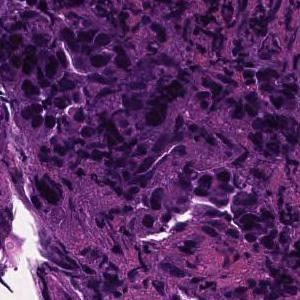
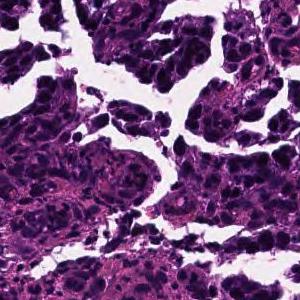
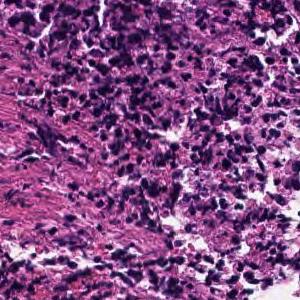
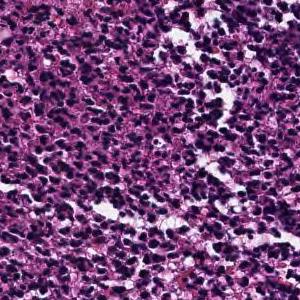
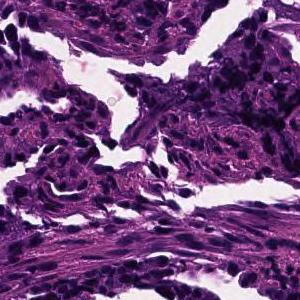
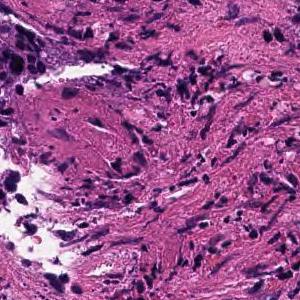
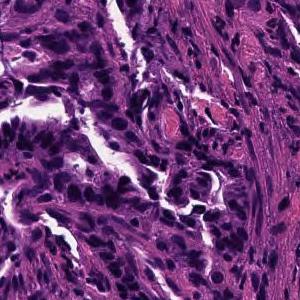
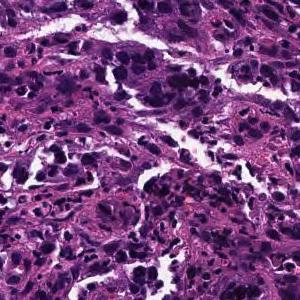
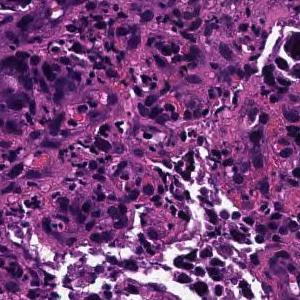
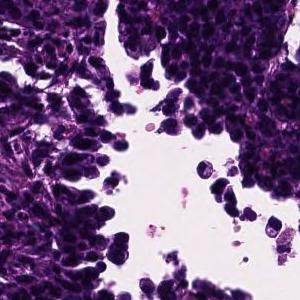
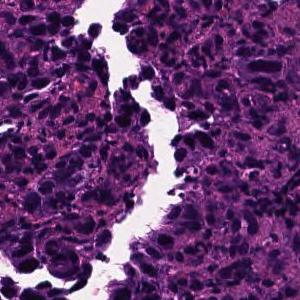
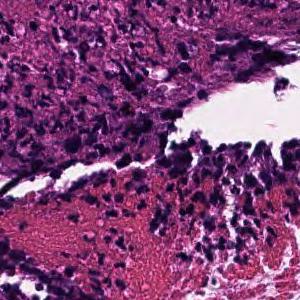
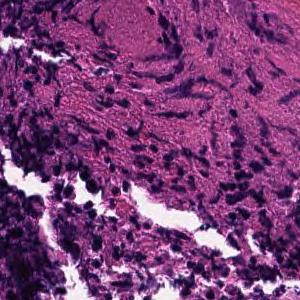
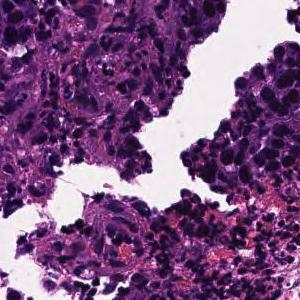
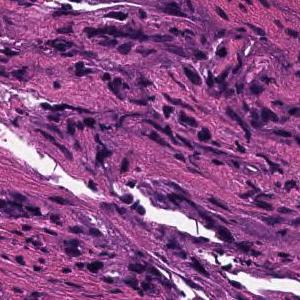
15 tiles from the same stomach biopsy slide · 300 × 300 pixels each · hematoxylin and eosin stain · scanned at ×20.
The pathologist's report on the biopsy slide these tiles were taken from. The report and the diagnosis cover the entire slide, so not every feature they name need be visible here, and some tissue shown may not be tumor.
In the superficial epithelium, tumor tissue that invades by forming medium-sized to small, irregular ducts is observed. moderately differentiated tubular adenocarcinoma.
